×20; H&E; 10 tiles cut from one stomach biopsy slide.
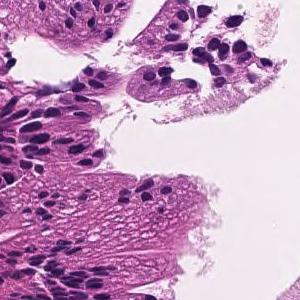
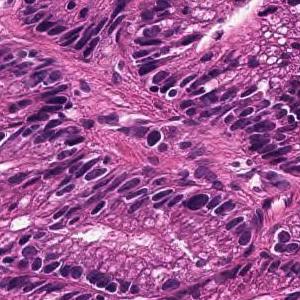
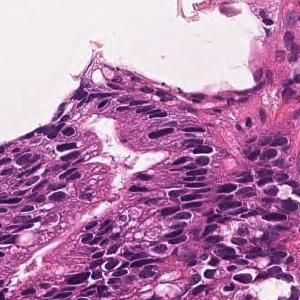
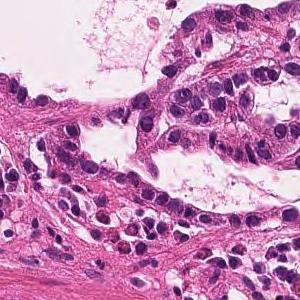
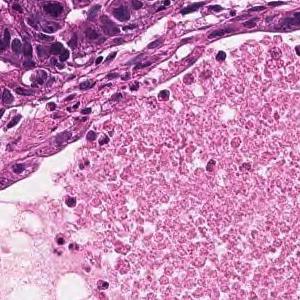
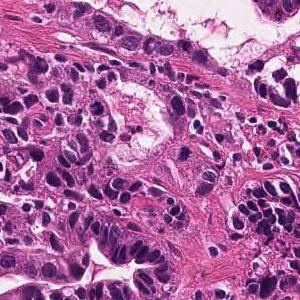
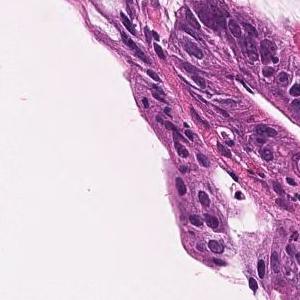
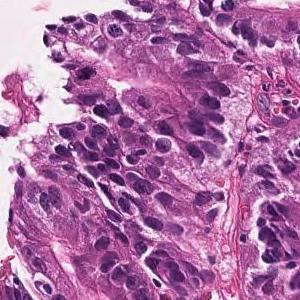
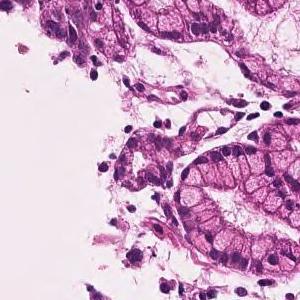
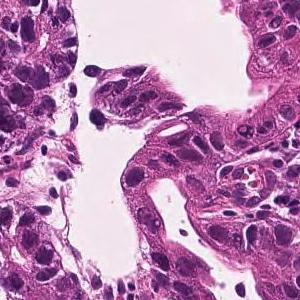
Pathology report for the biopsy slide these tiles were cut from. What the report and the diagnosis say applies to the whole slide; these tiles may miss some of the features named and may include tissue that is not tumor.
In the superficial epithelium, tumor tissue that invades by forming medium-sized to small, irregular ducts is observed. moderately differentiated tubular adenocarcinoma.
